15 tiles from the same stomach biopsy slide, 20× magnification, H&E.
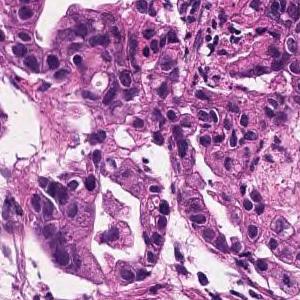
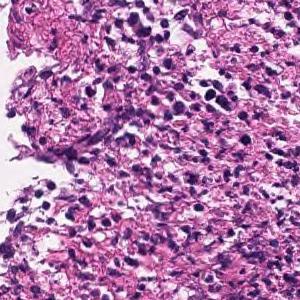
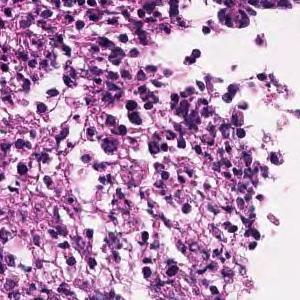
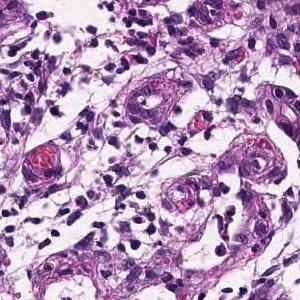
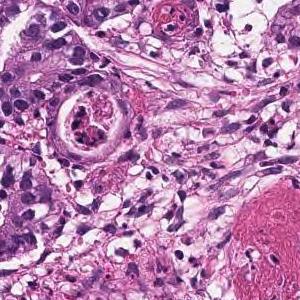
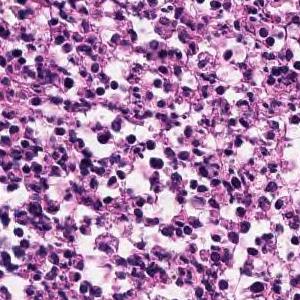
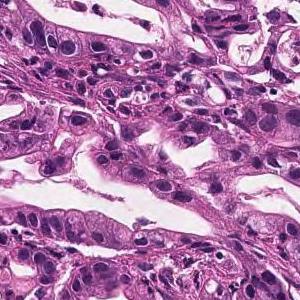
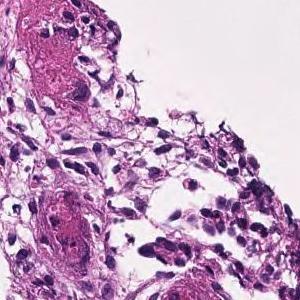
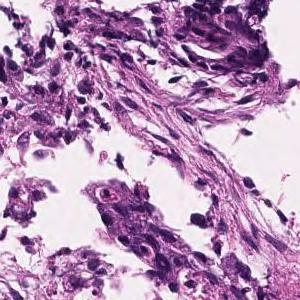
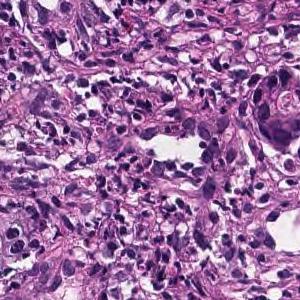
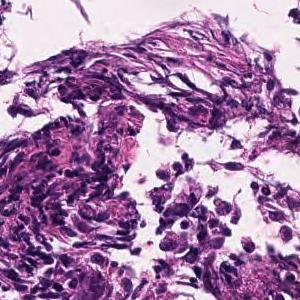
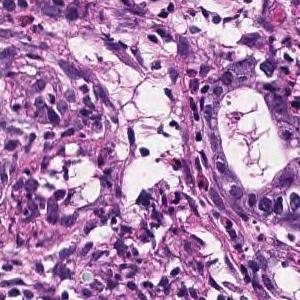
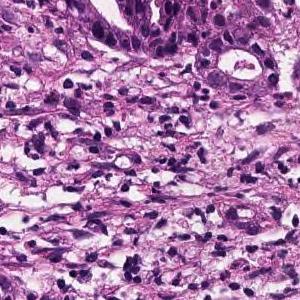
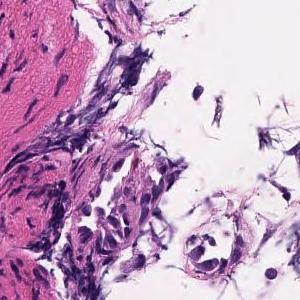
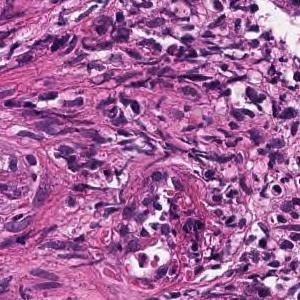
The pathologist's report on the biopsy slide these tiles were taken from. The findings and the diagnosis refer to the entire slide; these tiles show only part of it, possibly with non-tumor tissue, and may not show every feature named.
In the superficial epithelium, medium to small, irregular gland ducts are formed, and in some cases, the gland ducts are fused to show solid alveolar lesions and infiltrating tumor tissue is observed. Moderately to poorly differentiated adenocarcinoma.
